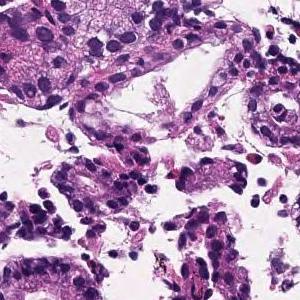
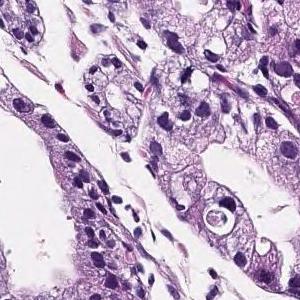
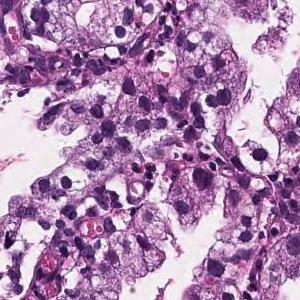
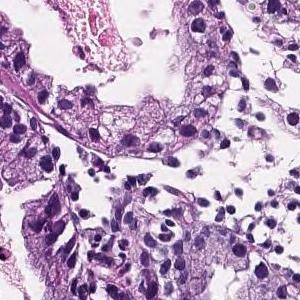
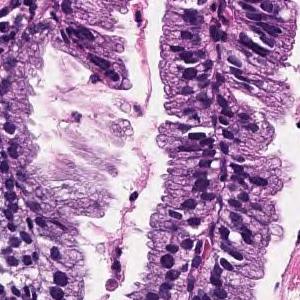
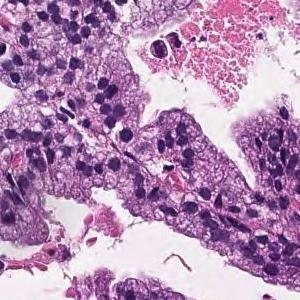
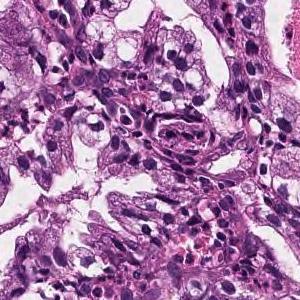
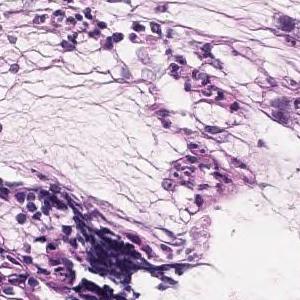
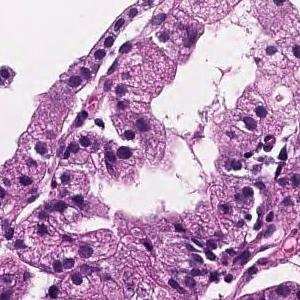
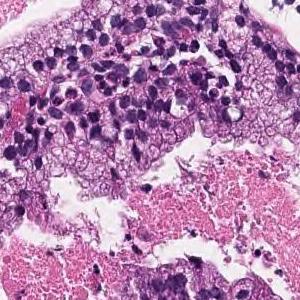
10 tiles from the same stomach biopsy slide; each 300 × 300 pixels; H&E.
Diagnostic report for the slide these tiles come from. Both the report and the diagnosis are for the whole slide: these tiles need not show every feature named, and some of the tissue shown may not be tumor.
In the superficial epithelium, tumor tissue that infiltrates by forming medium-sized papillary or small irregular ducts is observed. Papillary adenocarcinoma
